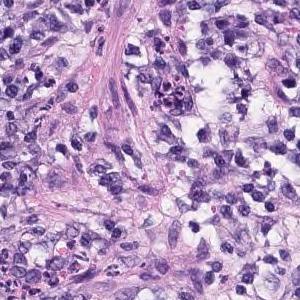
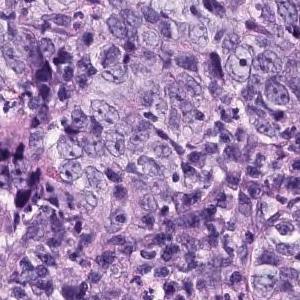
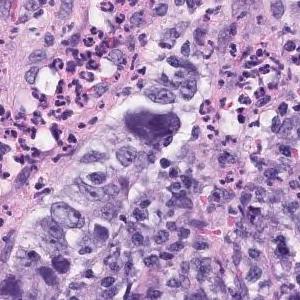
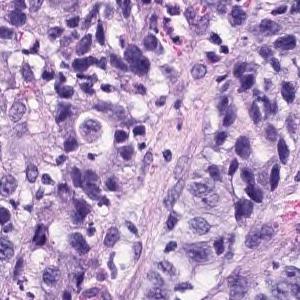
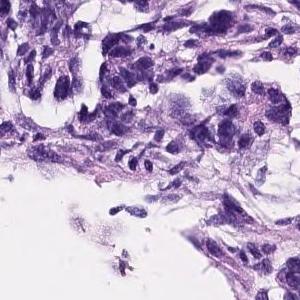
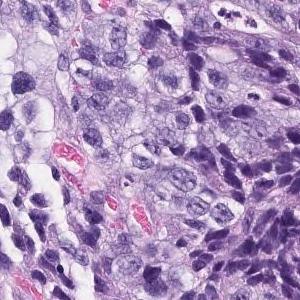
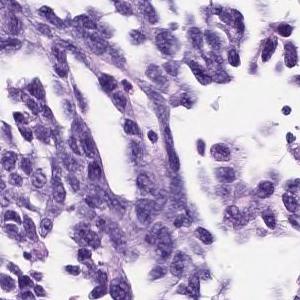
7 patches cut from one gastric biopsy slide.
Report on the slide these tiles come from. Both the report and the diagnosis are for the whole slide: these tiles need not show every feature named, and some of the tissue shown may not be tumor.
The superficial epithelium shows a large sheet-like shape, and some tumor tissue infiltrates with small irregular ducts. Poorly differentiated adenocarcinoma, solid-type
Histologic type: Poorly differentiated adenocarcinoma, solid type (Japanese Classification of Gastric Carcinoma). The WHO 2019 equivalent is tubular adenocarcinoma, poorly differentiated.
